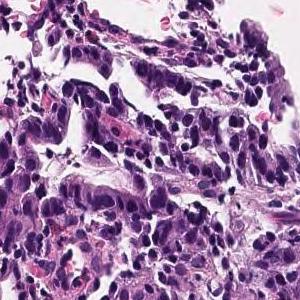
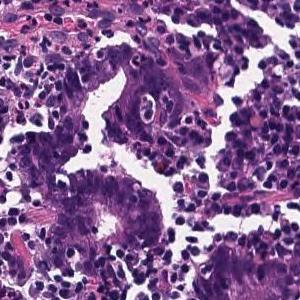
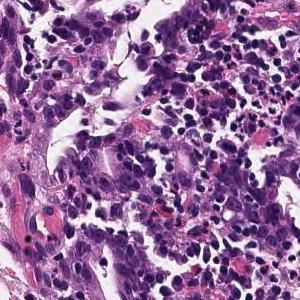
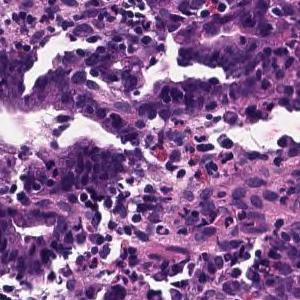
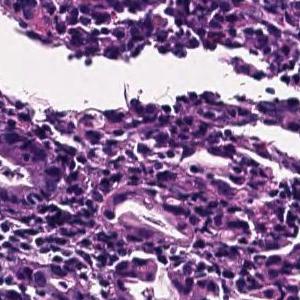
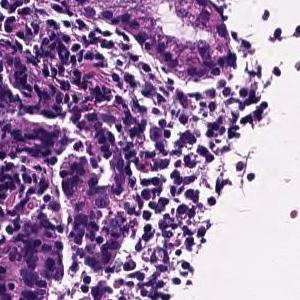
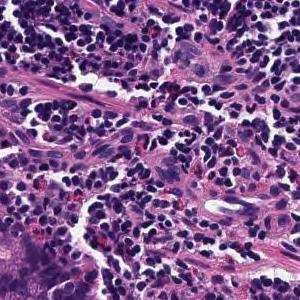
20× magnification · 7 patches cut from one gastric biopsy slide · each 300 × 300 pixels.
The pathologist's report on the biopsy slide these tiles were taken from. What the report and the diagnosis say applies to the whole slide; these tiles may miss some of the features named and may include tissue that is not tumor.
Tumor tissue consisting of medium-sized, cord-like or irregular glandular infiltration is observed in the superficial epithelium. Poorly differentiated adenocarcinoma, non-solid type or moderately differentiated tubular adenocarcinoma
Tumor subtype: moderately to poorly differentiated adenocarcinoma.
The term "non-solid type" comes from the Japanese Classification of Gastric Carcinoma.
